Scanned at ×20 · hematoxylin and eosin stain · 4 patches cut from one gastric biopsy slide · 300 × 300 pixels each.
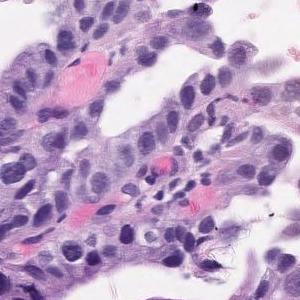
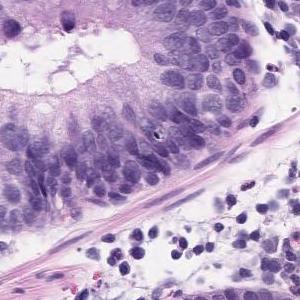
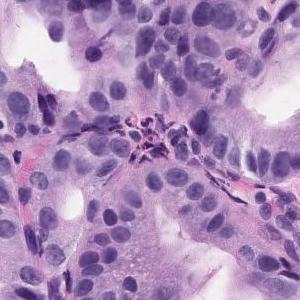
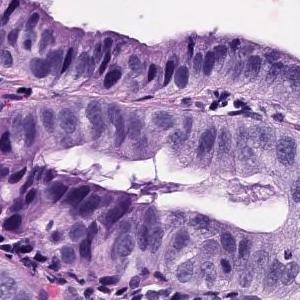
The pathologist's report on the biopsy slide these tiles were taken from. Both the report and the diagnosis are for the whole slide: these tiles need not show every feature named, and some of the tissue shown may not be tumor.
Tumor tissue consisting of medium-sized and irregular ducts is observed infiltrating in the superficial epithelium. Tumor cells are highly columnar, with nuclei aligned basolaterally and polarized. Well differentiated tubular adenocarcinoma.
